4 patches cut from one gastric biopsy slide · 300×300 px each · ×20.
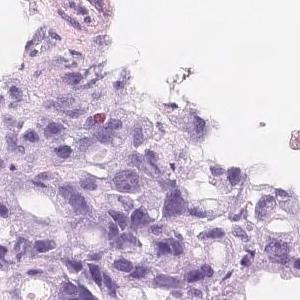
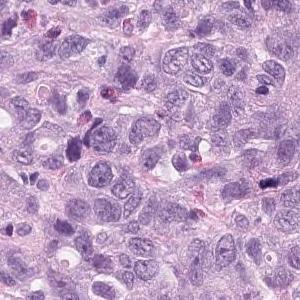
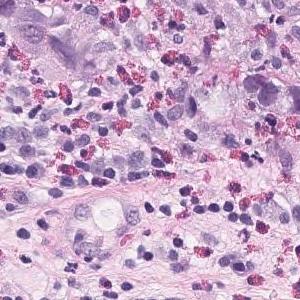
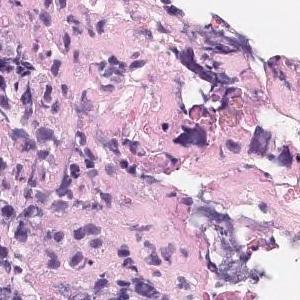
Diagnostic report for the slide these tiles come from. The report describes the whole slide, diagnosis included: not every finding it names need appear in these tiles, which may also show non-tumor tissue.
Tumor tissue that infiltrates and proliferates by forming small glandular cavities in the superficial layer to the submucosa or forming a mass is observed. moderately differentiated tubular adenocarcinoma
